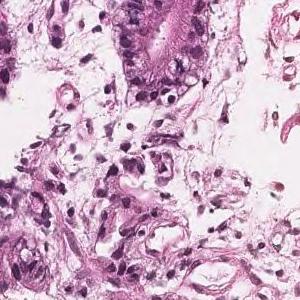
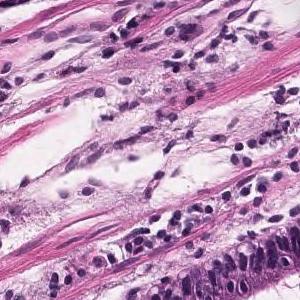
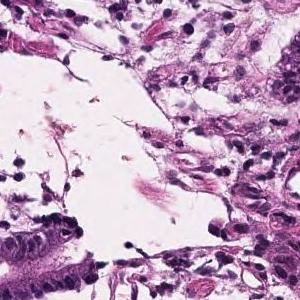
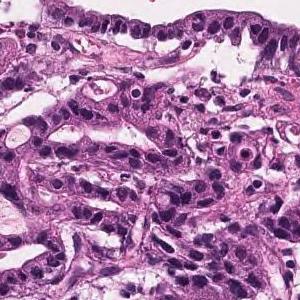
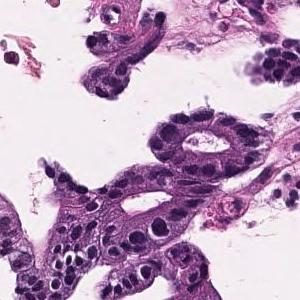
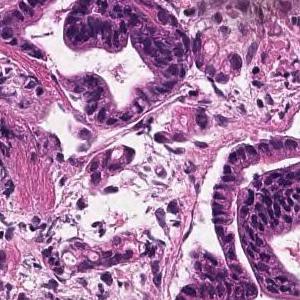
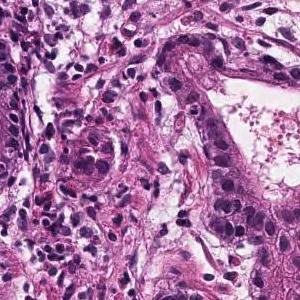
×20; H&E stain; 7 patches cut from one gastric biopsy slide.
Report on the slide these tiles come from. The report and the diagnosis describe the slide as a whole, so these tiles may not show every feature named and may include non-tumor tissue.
Tumor tissue with atypical epithelium showing irregular ductal or sieving ductal structure and proliferating is observed. Well to moderately differentiated tubular adenocarcinoma (well differentiated tubular adenocarcinoma-moderately differentiated tubular adenocarcinoma)
Subtype: Well to moderately differentiated tubular adenocarcinoma.
